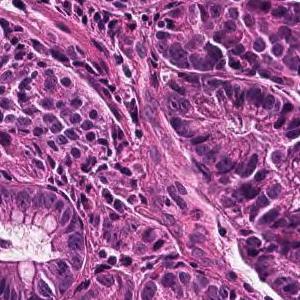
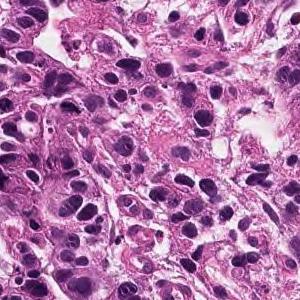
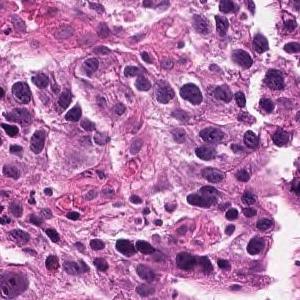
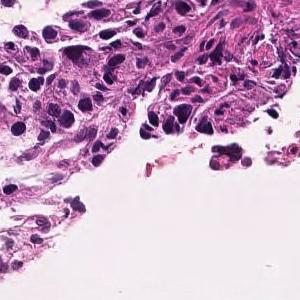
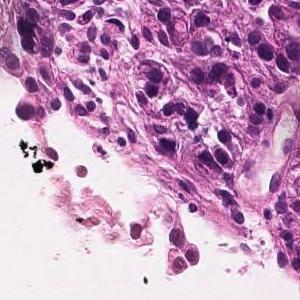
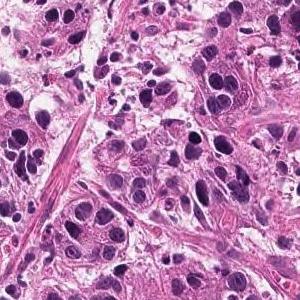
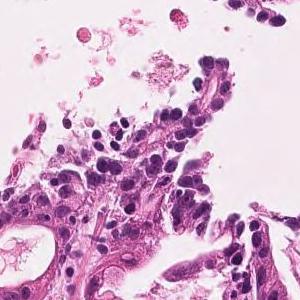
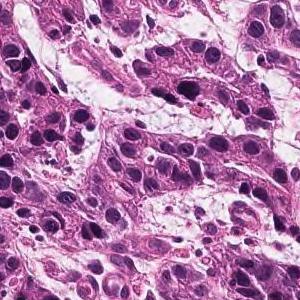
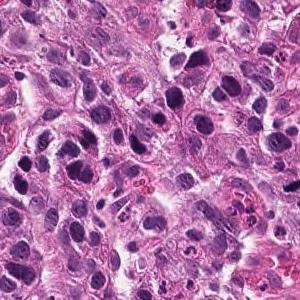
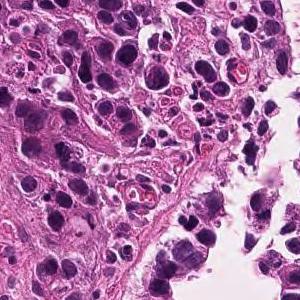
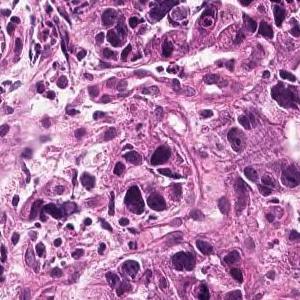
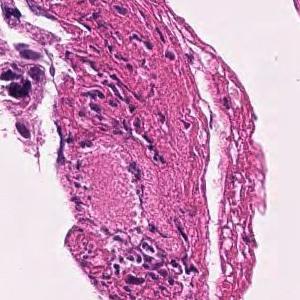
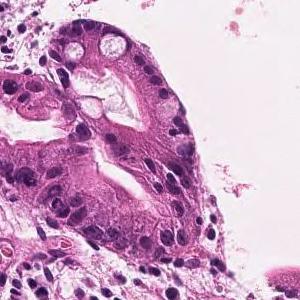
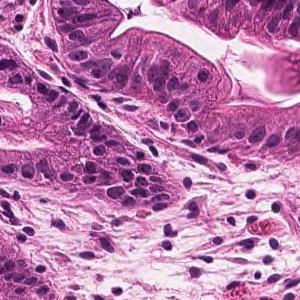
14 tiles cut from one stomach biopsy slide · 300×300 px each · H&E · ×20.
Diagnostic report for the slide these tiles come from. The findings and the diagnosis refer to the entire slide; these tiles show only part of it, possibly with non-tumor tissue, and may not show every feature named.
Tumor tissue consisting of medium-sized, cord-like or irregular glandular infiltration is observed in the superficial epithelium. Poorly differentiated adenocarcinoma, non-solid type or moderately differentiated tubular adenocarcinoma
Histologic type: Moderately to poorly differentiated adenocarcinoma.
The non-solid type named here is a Japanese Classification of Gastric Carcinoma category.
